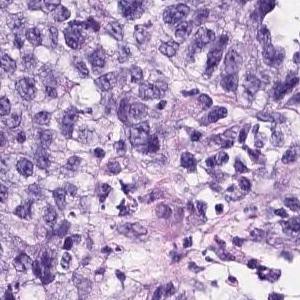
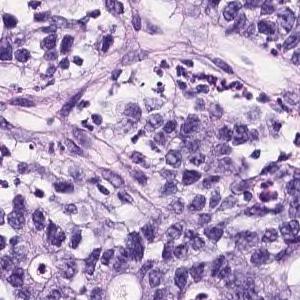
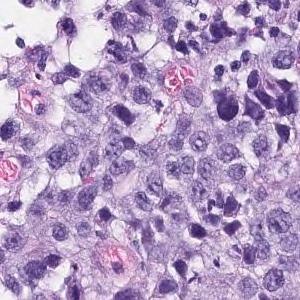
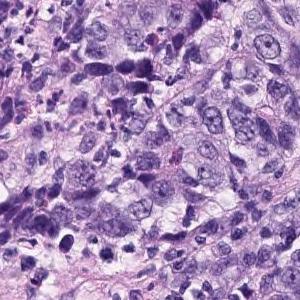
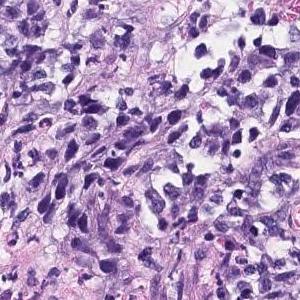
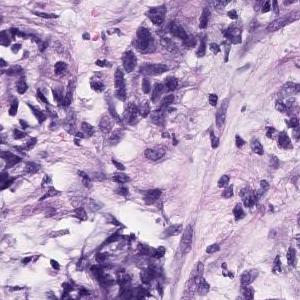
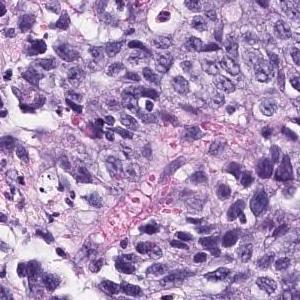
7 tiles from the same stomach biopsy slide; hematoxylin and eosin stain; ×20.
The pathologist's report on the biopsy slide these tiles were taken from. What the report and the diagnosis say applies to the whole slide; these tiles may miss some of the features named and may include tissue that is not tumor.
The superficial epithelium shows a large sheet-like shape, and some tumor tissue infiltrates with small irregular ducts. Poorly differentiated adenocarcinoma, solid-type
Histological subtype: Poorly differentiated adenocarcinoma, solid type (Japanese Classification of Gastric Carcinoma). The WHO 2019 equivalent is tubular adenocarcinoma, poorly differentiated.
